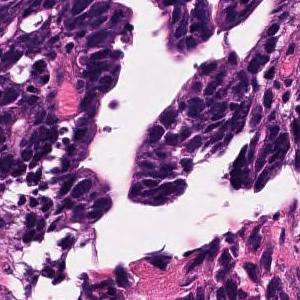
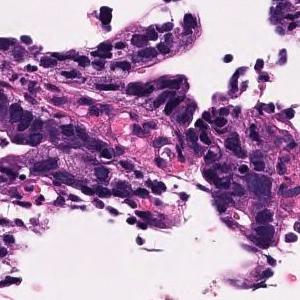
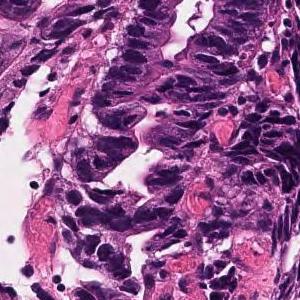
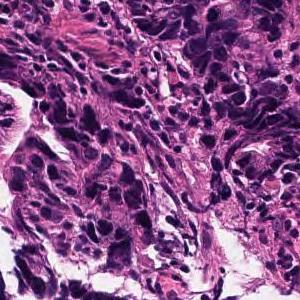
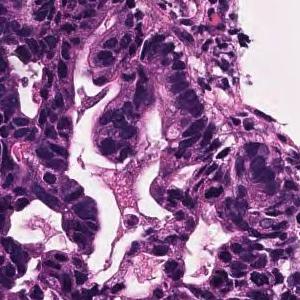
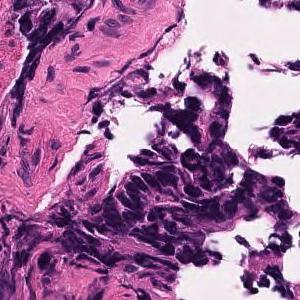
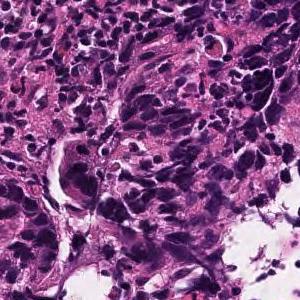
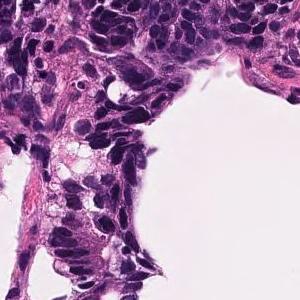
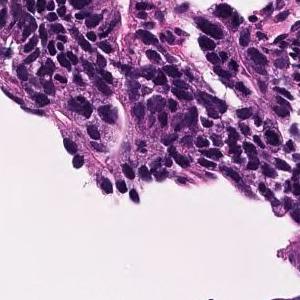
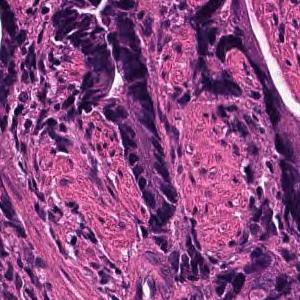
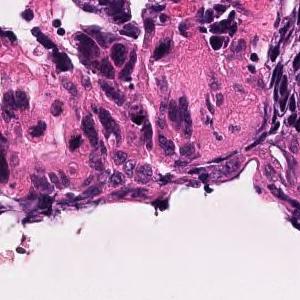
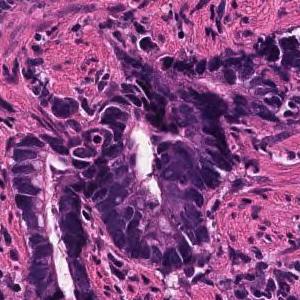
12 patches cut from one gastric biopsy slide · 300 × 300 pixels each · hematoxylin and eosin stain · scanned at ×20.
Pathology report for the slide these tiles were cut from. Both the report and the diagnosis are for the whole slide: these tiles need not show every feature named, and some of the tissue shown may not be tumor.
Large and small irregular small glandular ducts forming and infiltrating. moderately differentiated tubular adenocarcinoma
